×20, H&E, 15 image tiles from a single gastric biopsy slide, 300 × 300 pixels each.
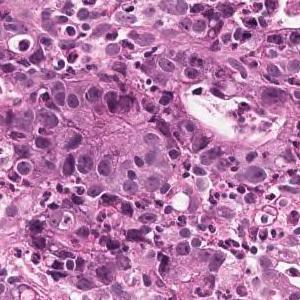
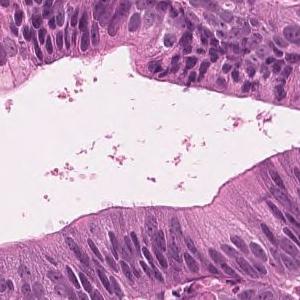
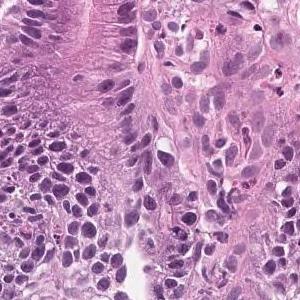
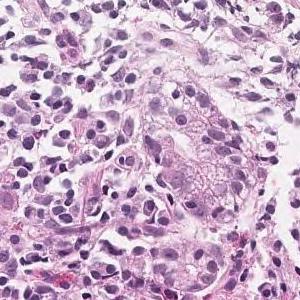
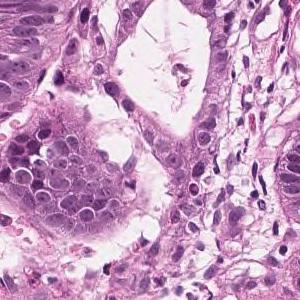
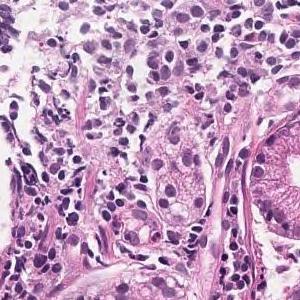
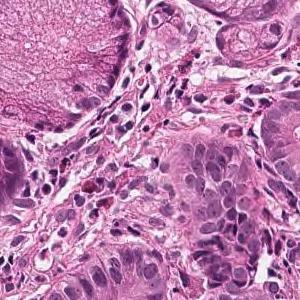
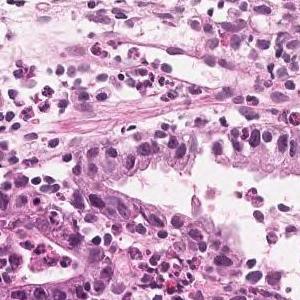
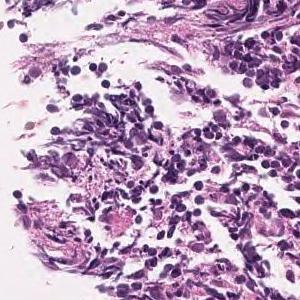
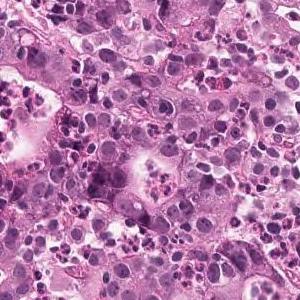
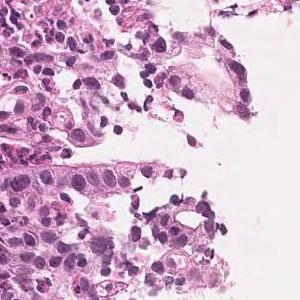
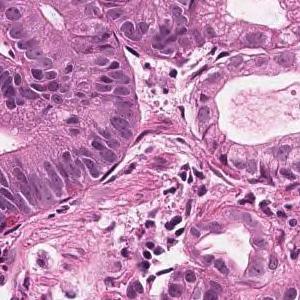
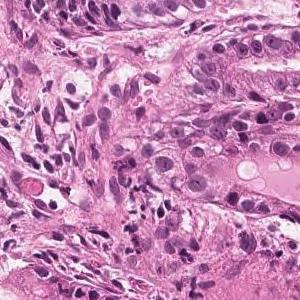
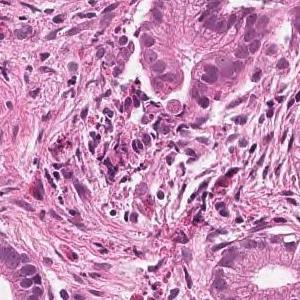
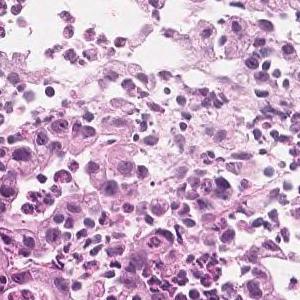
Report on the slide these tiles come from. What the report and the diagnosis say applies to the whole slide; these tiles may miss some of the features named and may include tissue that is not tumor.
On the superficial epithelium, tumor tissue consisting of large, irregular glandular ducts partially fused and infiltrated is observed. Well to moderately differentiated tubular adenocarcinoma (well differentiated tubular adenocarcinoma, moderately differentiated tubular adenocarcinoma)
Histologic type: Well to moderately differentiated tubular adenocarcinoma.
